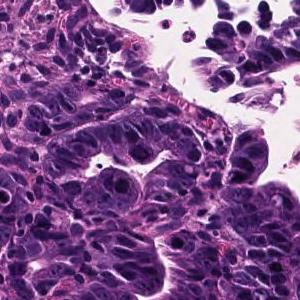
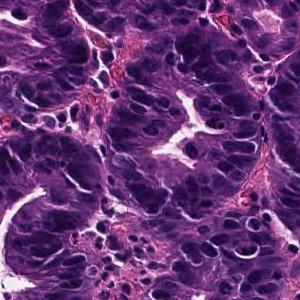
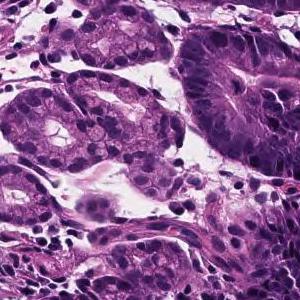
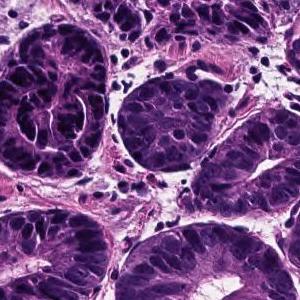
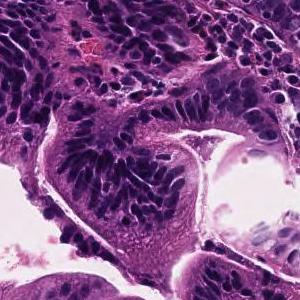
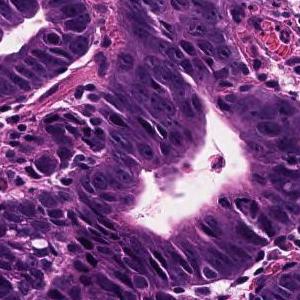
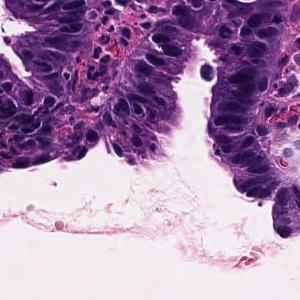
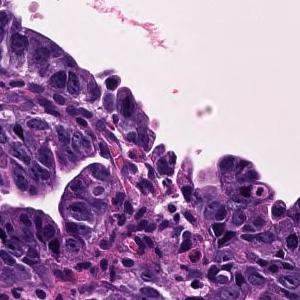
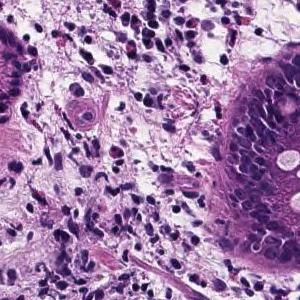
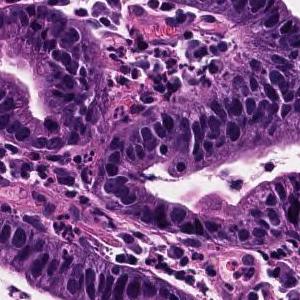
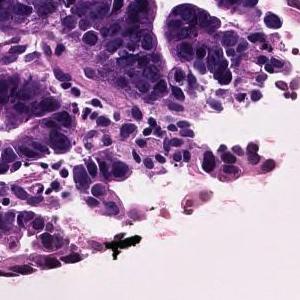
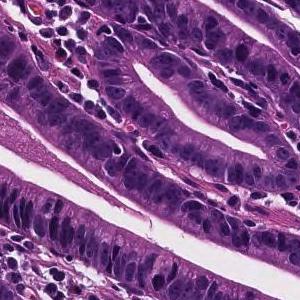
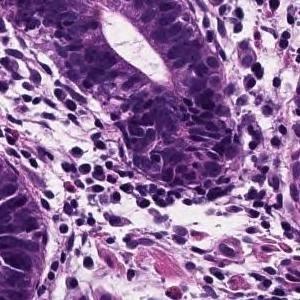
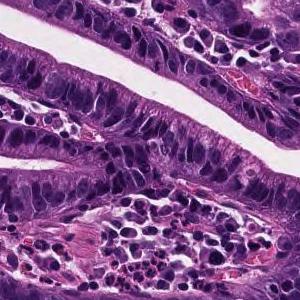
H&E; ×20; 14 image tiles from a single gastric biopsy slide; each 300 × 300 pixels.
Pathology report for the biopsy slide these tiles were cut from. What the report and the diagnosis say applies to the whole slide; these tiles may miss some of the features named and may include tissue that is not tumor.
On the superficial epithelium, tumor tissue consisting of growth of medium-sized to large-sized, round or irregular glandular ducts is observed. Well differentiated tubular adenocarcinoma
